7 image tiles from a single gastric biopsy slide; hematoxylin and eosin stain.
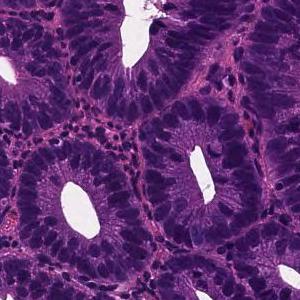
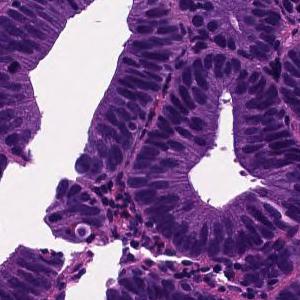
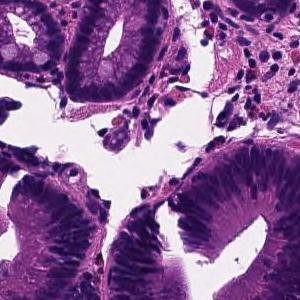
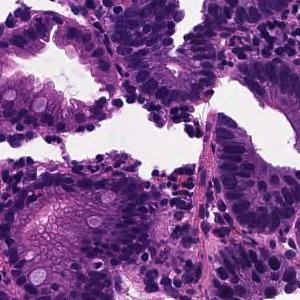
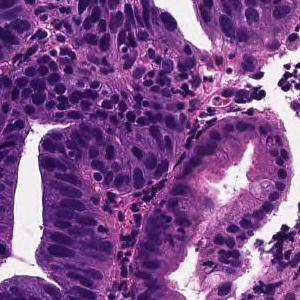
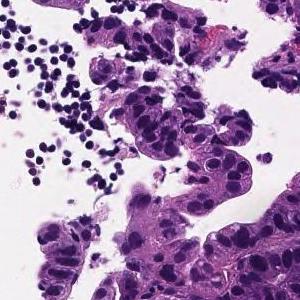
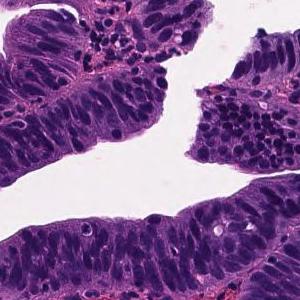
Diagnostic report for the slide these tiles come from. Both the report and the diagnosis are for the whole slide: these tiles need not show every feature named, and some of the tissue shown may not be tumor.
Tumor tissue in which medium to small irregular ducts infiltrate and proliferate in the submucosa can be seen in the epithelium. Well differentiated tubular adenocarcinoma
